H&E · 15 tiles cut from one stomach biopsy slide · 300 × 300 pixels each.
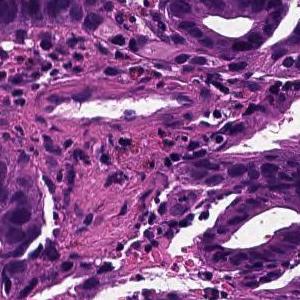
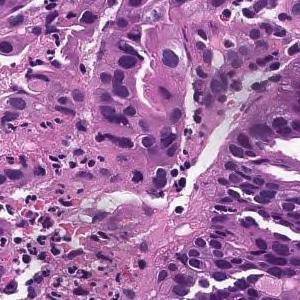
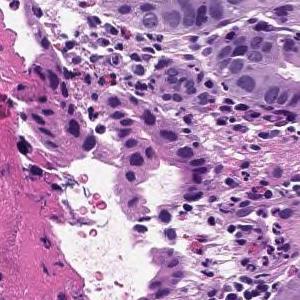
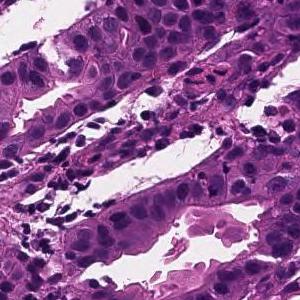
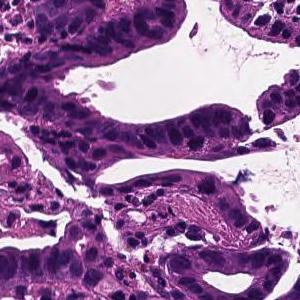
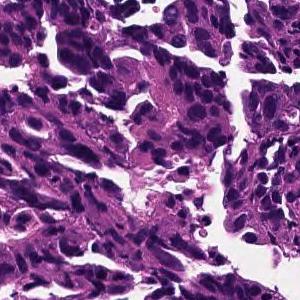
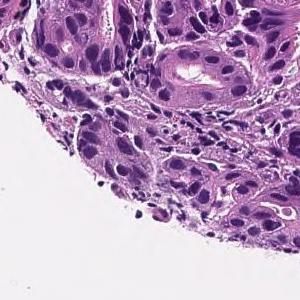
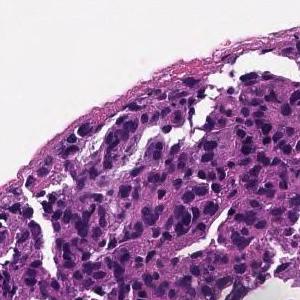
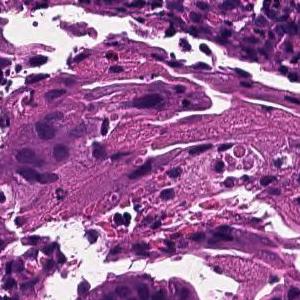
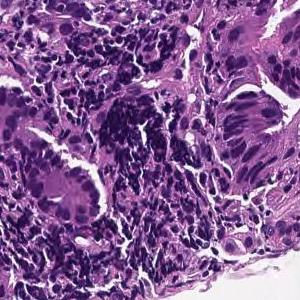
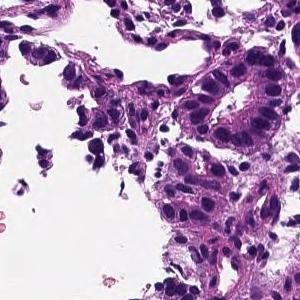
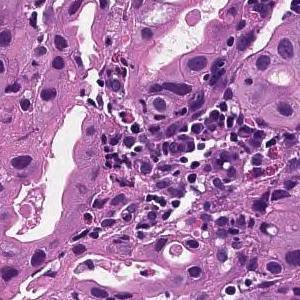
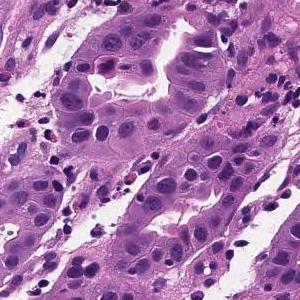
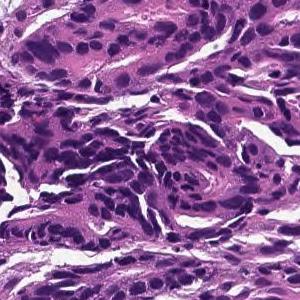
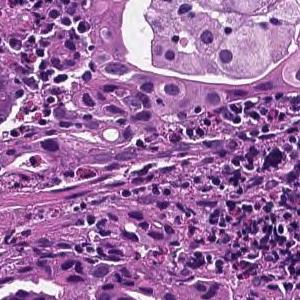
The pathologist's report on the biopsy slide these tiles were taken from. The report describes the whole slide, diagnosis included: not every finding it names need appear in these tiles, which may also show non-tumor tissue.
In the superficial epithelium, tumor tissue that invades by forming medium-sized to small, irregular ducts is observed. moderately differentiated tubular adenocarcinoma.
